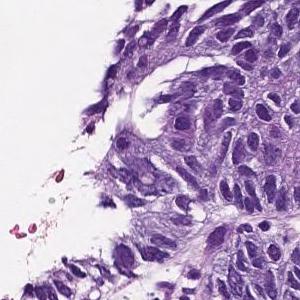
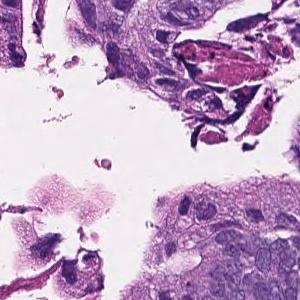
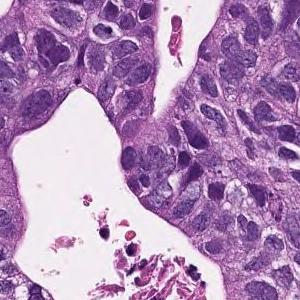
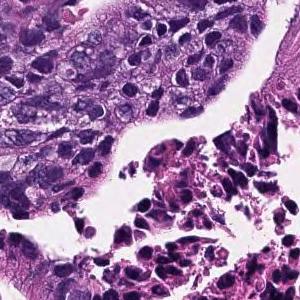
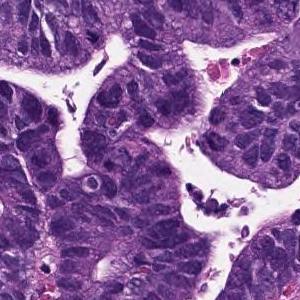
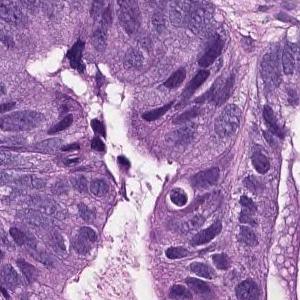
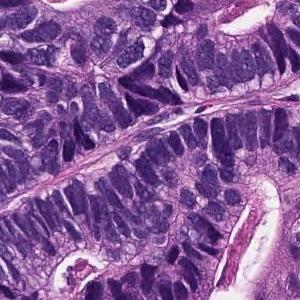
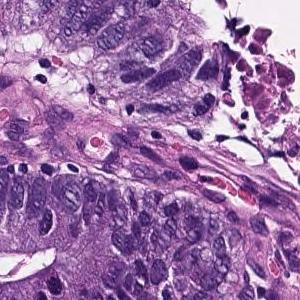
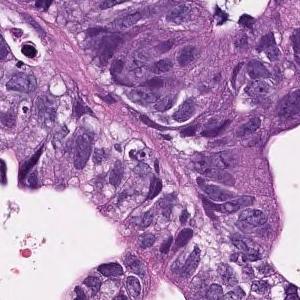
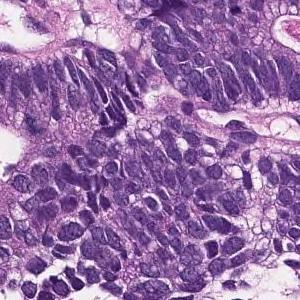
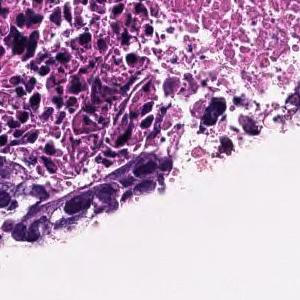
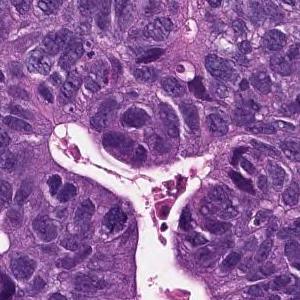
H&E stain; ×20; 12 image tiles from a single gastric biopsy slide.
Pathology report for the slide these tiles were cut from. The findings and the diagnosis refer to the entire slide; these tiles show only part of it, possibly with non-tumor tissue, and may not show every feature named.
In the superficial epithelium, tumor tissue that invades by forming medium-sized to small, irregular ducts is observed. moderately differentiated tubular adenocarcinoma.
